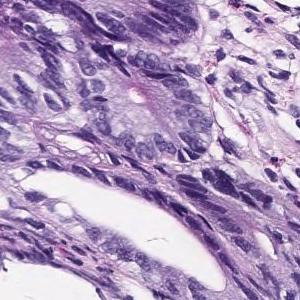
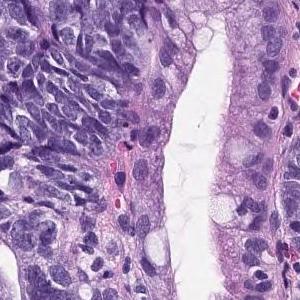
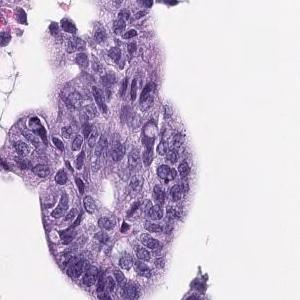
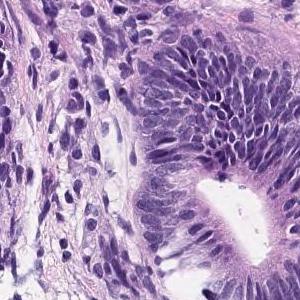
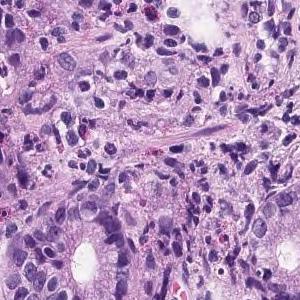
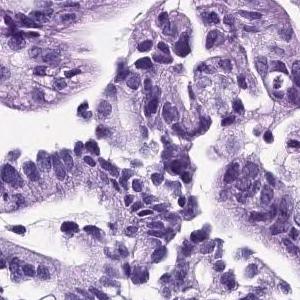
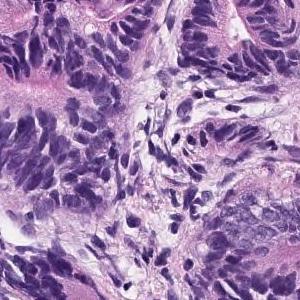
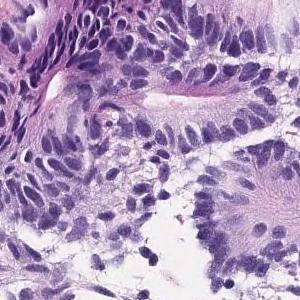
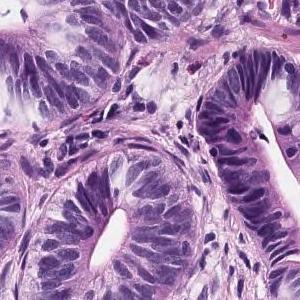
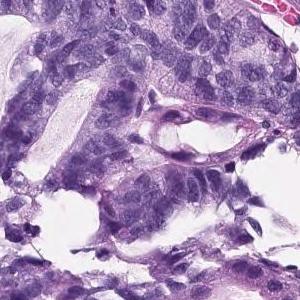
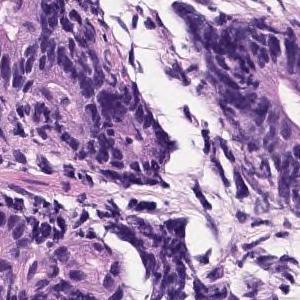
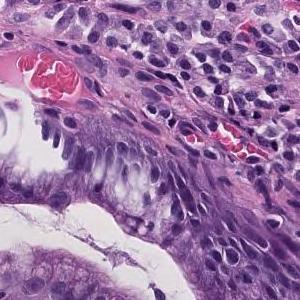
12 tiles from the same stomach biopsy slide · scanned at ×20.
Report on the slide these tiles come from. Both the report and the diagnosis are for the whole slide: these tiles need not show every feature named, and some of the tissue shown may not be tumor.
On the superficial epithelium, tumor tissue consisting of medium-sized to large-sized, round or irregular glandular duct growth images is observed. Well differentiated adenocarcinoma.
Classified as well differentiated tubular adenocarcinoma.
